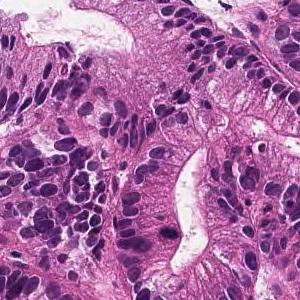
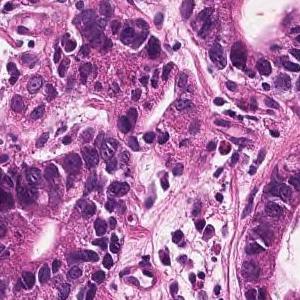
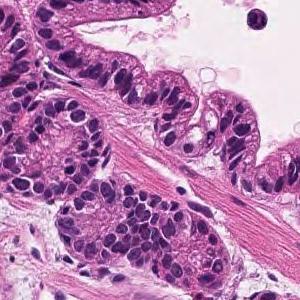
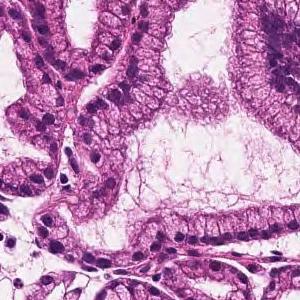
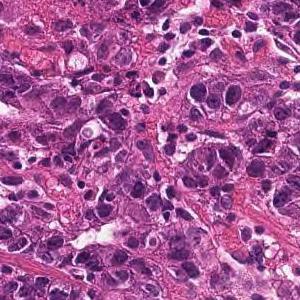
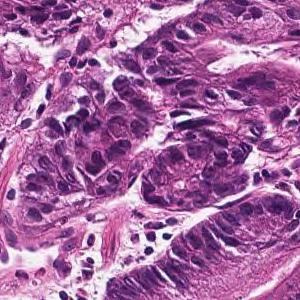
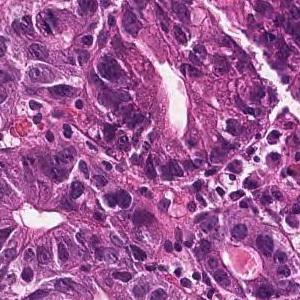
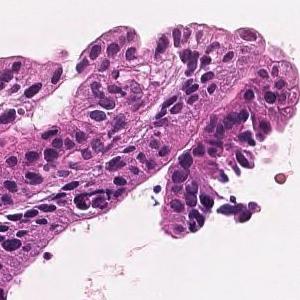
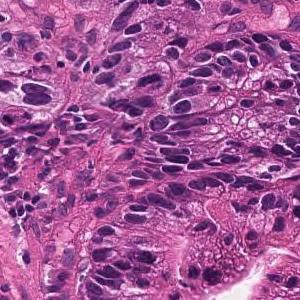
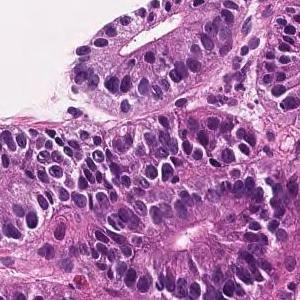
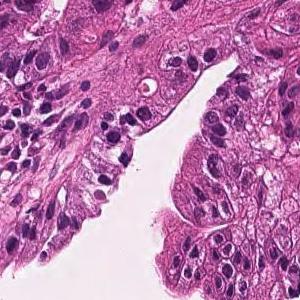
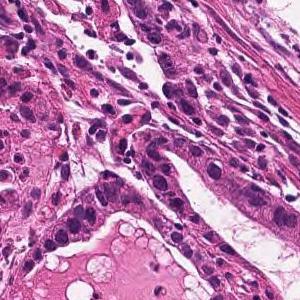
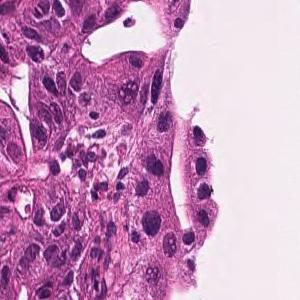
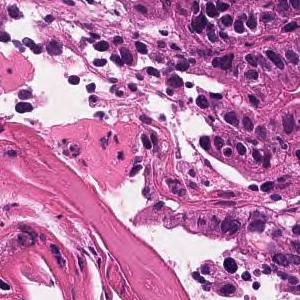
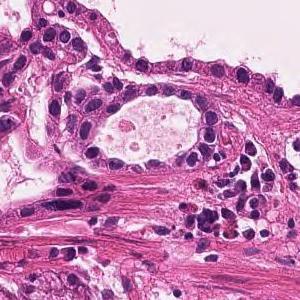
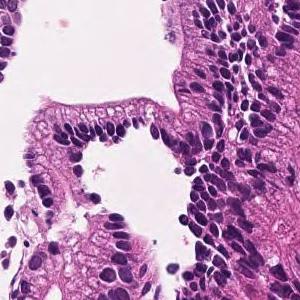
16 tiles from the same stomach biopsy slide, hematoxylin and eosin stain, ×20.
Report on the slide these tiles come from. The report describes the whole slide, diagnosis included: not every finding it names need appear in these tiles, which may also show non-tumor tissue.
In the superficial epithelium, tumor tissue that invades by forming medium-sized to small, irregular ducts is observed. moderately differentiated tubular adenocarcinoma.
